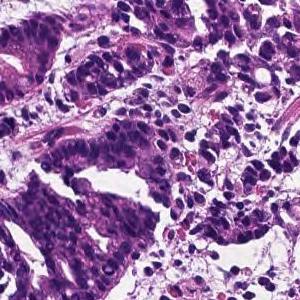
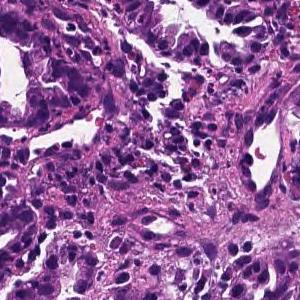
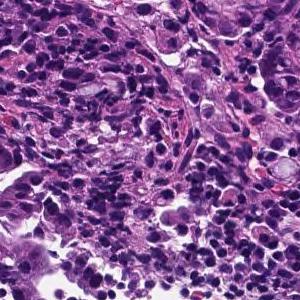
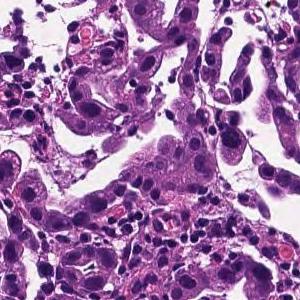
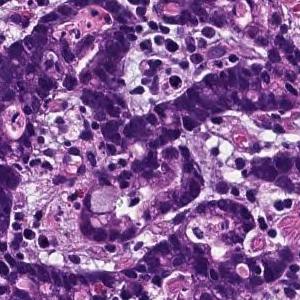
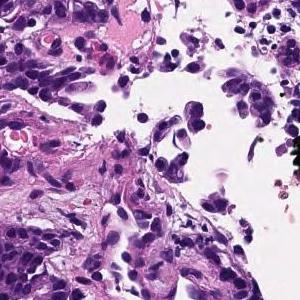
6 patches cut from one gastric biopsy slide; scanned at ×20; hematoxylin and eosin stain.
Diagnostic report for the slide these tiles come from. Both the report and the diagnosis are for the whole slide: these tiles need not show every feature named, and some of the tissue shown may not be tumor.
In the superficial epithelium, tumor tissue that invades by forming medium-sized to small, irregular ducts is observed. moderately differentiated tubular adenocarcinoma.
